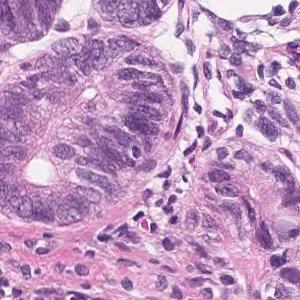
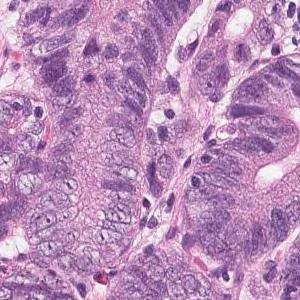
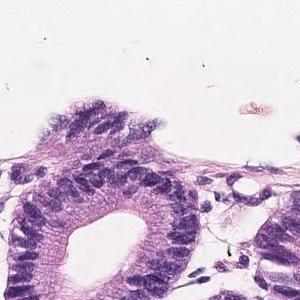
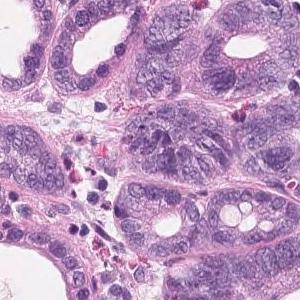
4 patches cut from one gastric biopsy slide · scanned at ×20 · H&E.
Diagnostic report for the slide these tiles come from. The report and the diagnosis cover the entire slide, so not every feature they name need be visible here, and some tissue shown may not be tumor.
Atypical ducts with severe atypia are densely populated in the superficial epithelium, and tumor tissue with hyperplasia is observed. Well differentiated tubular adenocarcinoma
